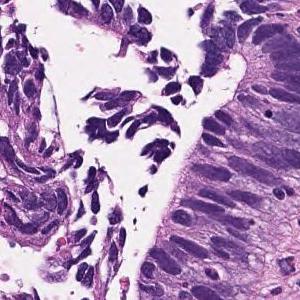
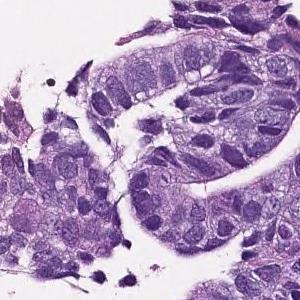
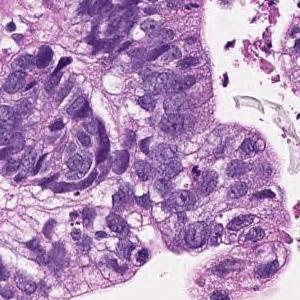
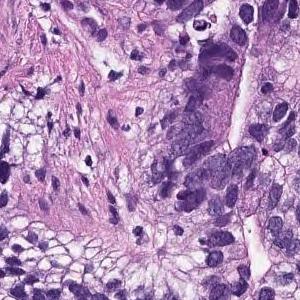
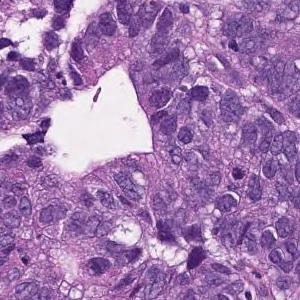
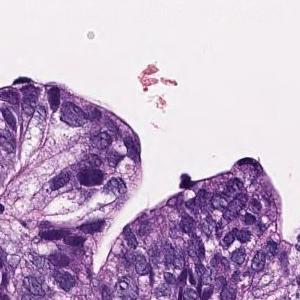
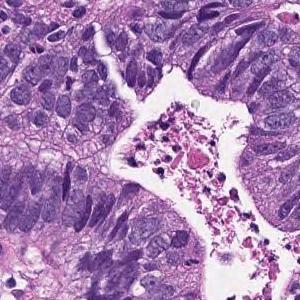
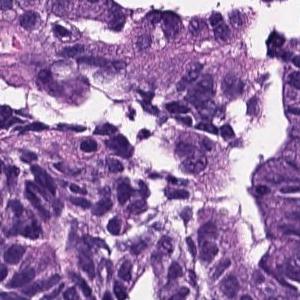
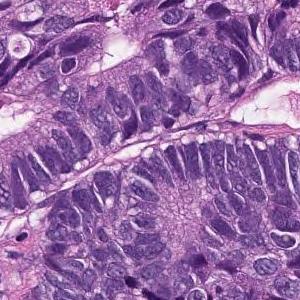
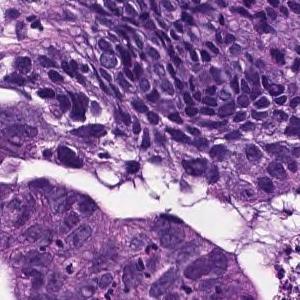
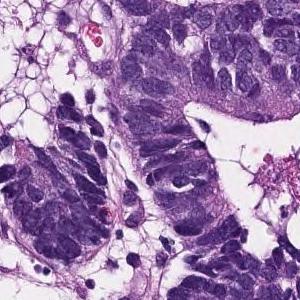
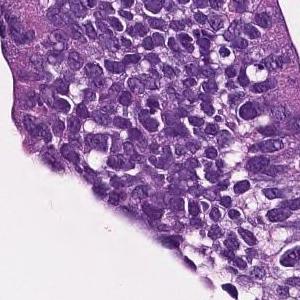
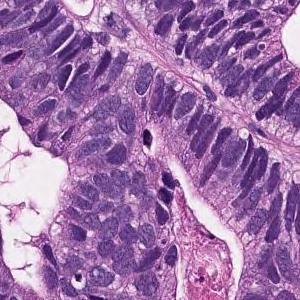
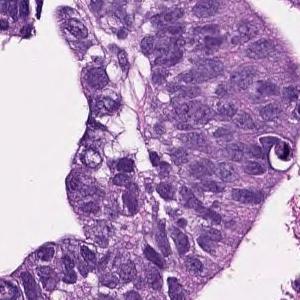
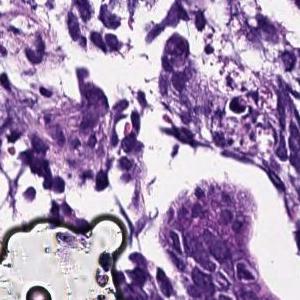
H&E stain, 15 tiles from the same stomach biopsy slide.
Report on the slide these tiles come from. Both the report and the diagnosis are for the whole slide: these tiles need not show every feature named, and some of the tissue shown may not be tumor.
In the superficial epithelium, tumor tissue that invades by forming medium-sized to small, irregular ducts is observed. moderately differentiated tubular adenocarcinoma.
